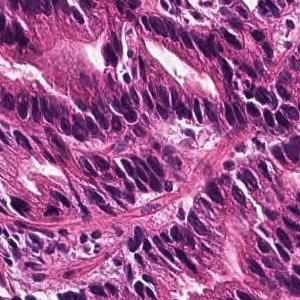
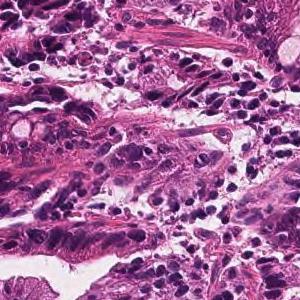
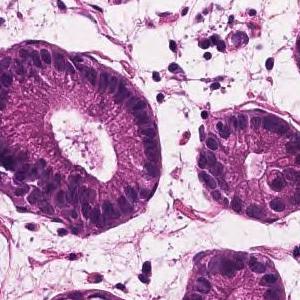
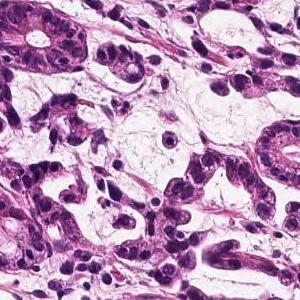
20× magnification; hematoxylin and eosin stain; 4 image tiles from a single gastric biopsy slide; each 300 × 300 pixels.
The pathologist's report on the biopsy slide these tiles were taken from. Both the report and the diagnosis are for the whole slide: these tiles need not show every feature named, and some of the tissue shown may not be tumor.
In the superficial epithelium, tumor tissue that invades by forming medium-sized to small, irregular ducts is observed. moderately differentiated tubular adenocarcinoma.
